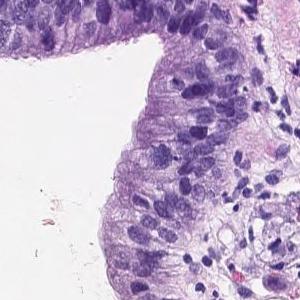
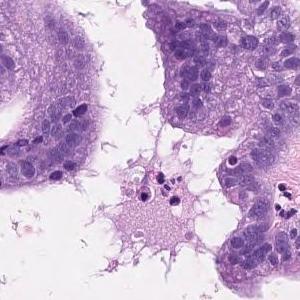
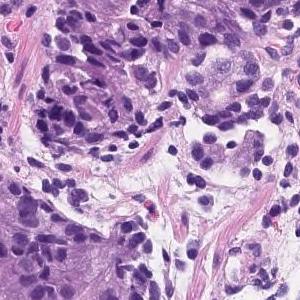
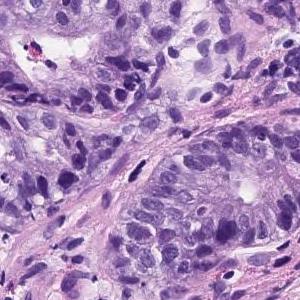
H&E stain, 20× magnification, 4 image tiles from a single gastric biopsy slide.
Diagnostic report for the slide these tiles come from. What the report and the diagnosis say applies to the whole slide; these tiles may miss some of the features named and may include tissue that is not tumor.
Tumor tissue consisting of medium-sized and irregular ducts is observed infiltrating in the superficial epithelium. Tumor cells are highly columnar, with nuclei aligned basolaterally and polarized. Well differentiated tubular adenocarcinoma.
